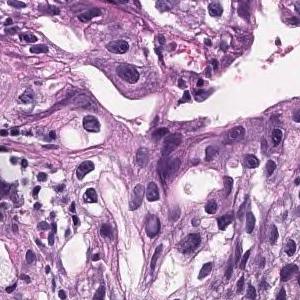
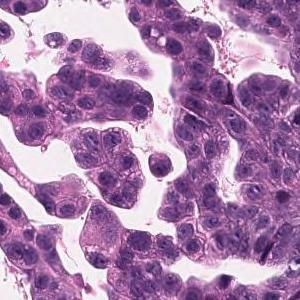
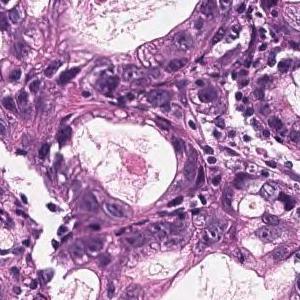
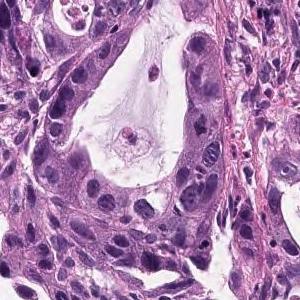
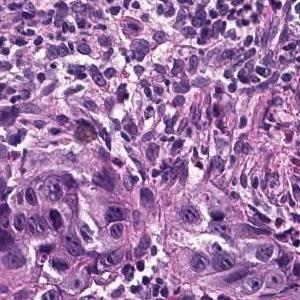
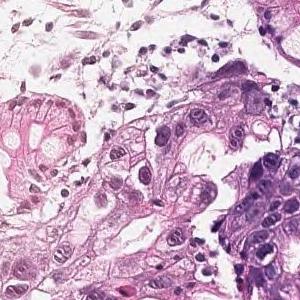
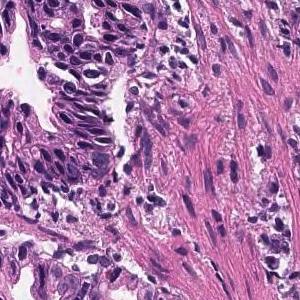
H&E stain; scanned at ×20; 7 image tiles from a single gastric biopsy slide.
Report on the slide these tiles come from. The findings and the diagnosis refer to the entire slide; these tiles show only part of it, possibly with non-tumor tissue, and may not show every feature named.
Tumor cells are large, highly columnar, large club-shaped nuclei, and are associated with chromatin aggregation. Papillary adenocarcinoma.
